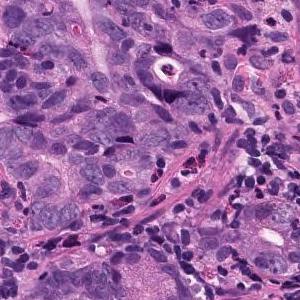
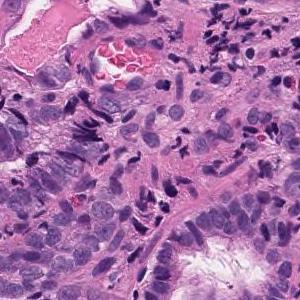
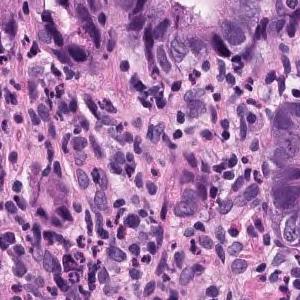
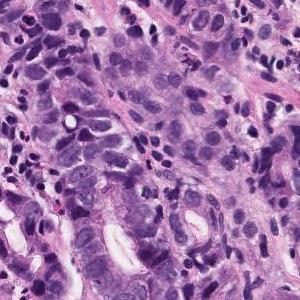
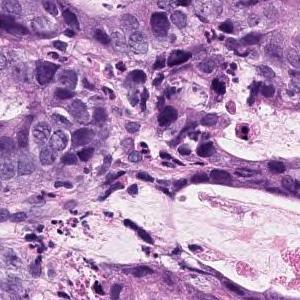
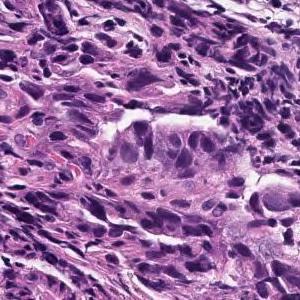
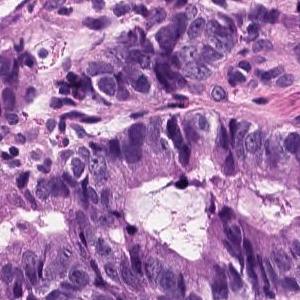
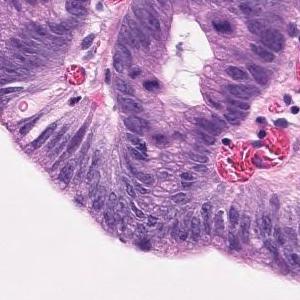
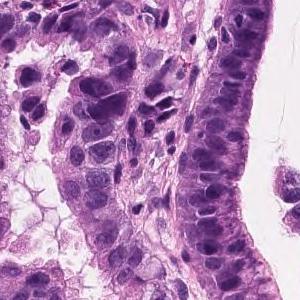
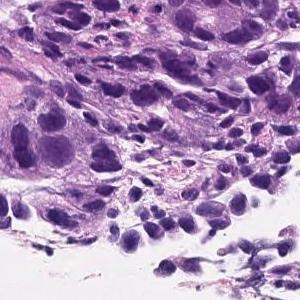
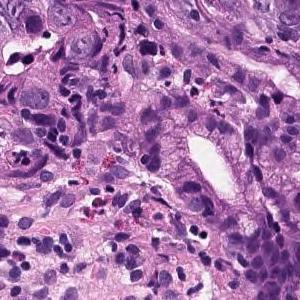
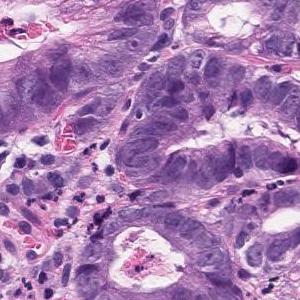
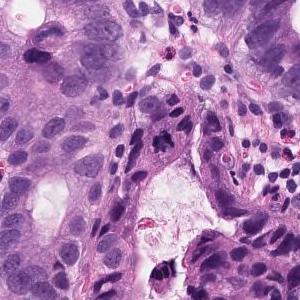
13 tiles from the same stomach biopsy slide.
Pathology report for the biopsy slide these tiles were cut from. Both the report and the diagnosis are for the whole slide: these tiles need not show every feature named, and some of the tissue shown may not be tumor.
The swollen atypical epithelium of the nucleus forms an irregular ductal structure and proliferates. moderately differentiated tubular adenocarcinoma
